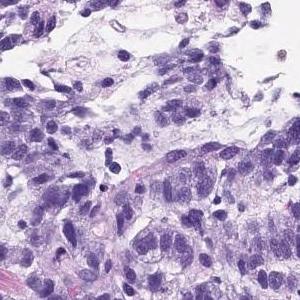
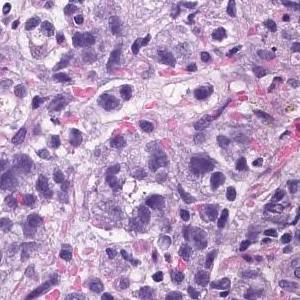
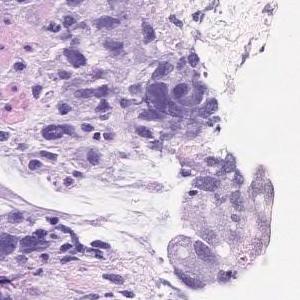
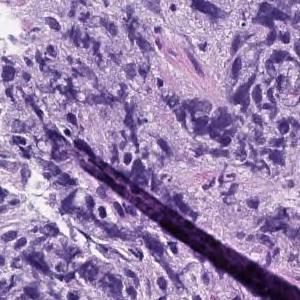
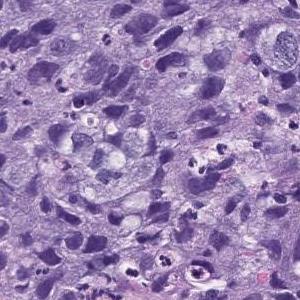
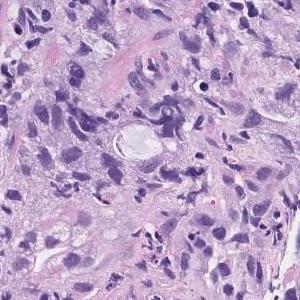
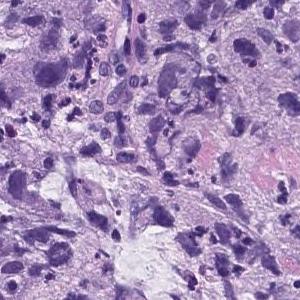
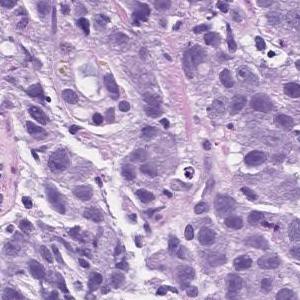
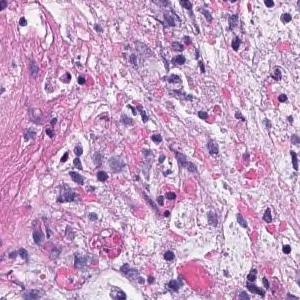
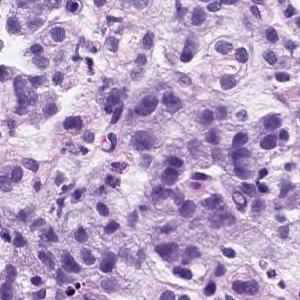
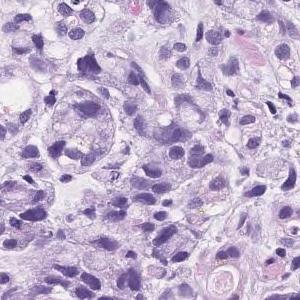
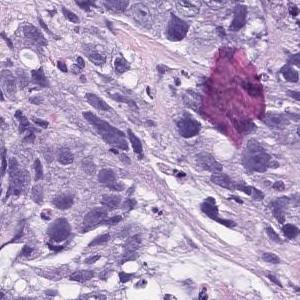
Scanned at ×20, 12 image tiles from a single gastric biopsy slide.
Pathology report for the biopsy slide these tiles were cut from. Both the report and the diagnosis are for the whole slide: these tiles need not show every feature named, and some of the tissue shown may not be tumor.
Atypical l cells with atypical nuclei forming solid vesicles or small irregular atypical ducts that proliferate in a complex manner. poorly differentiated adenocarcinoma, solid type, moderately differentiated tubular adenocarcinoma
The solid type named here is a Japanese Classification of Gastric Carcinoma category; WHO 2019 calls it tubular adenocarcinoma, poorly differentiated.
